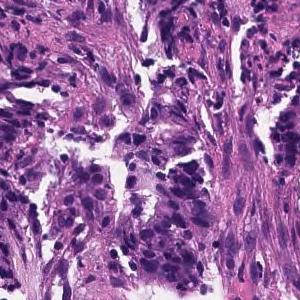
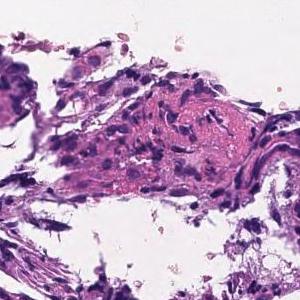
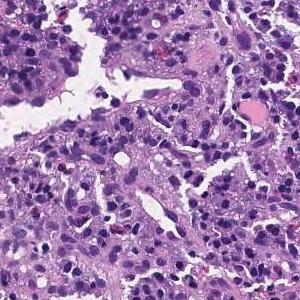
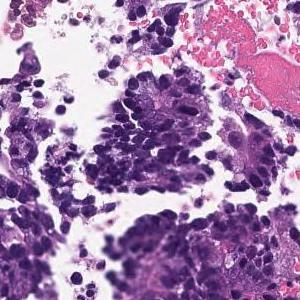
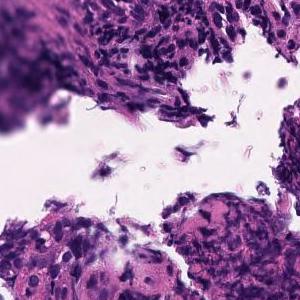
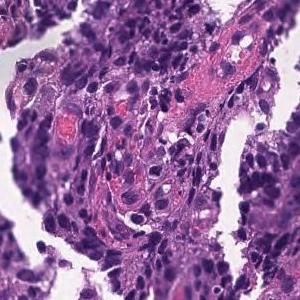
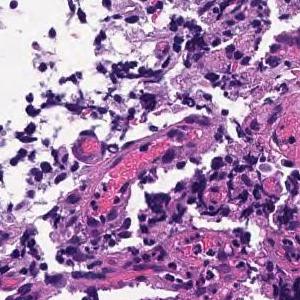
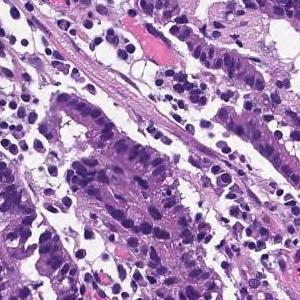
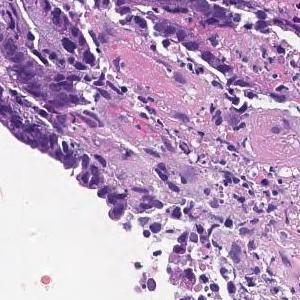
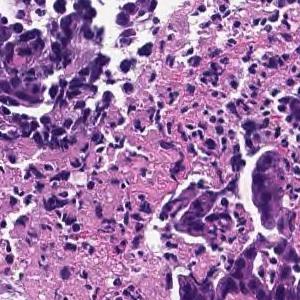
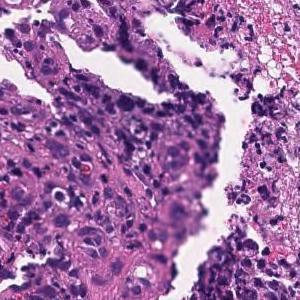
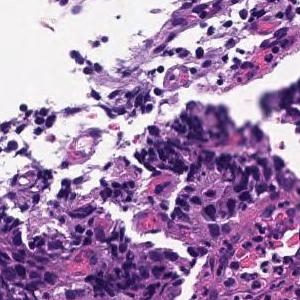
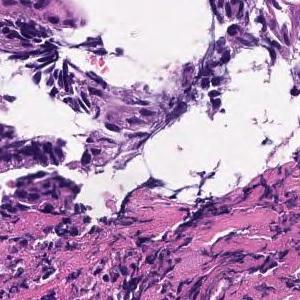
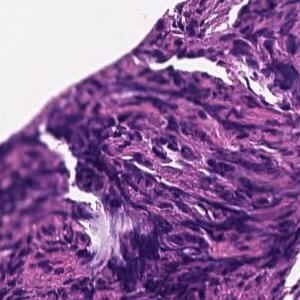
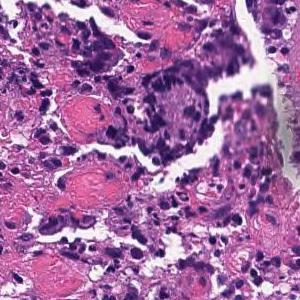
15 patches cut from one gastric biopsy slide, 300×300 px each, H&E.
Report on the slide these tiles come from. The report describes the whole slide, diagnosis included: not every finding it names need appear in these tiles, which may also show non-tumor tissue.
On the superficial epithelium, tumor tissue consisting of large irregular glandular ducts partially fused and infiltrated is observed. Well to moderately differentiated tubular adenocarcinoma (well differentiated tubular adenocarcinoma, moderately differentiated tubular adenocarcinoma)
Histological subtype: Well to moderately differentiated tubular adenocarcinoma.
